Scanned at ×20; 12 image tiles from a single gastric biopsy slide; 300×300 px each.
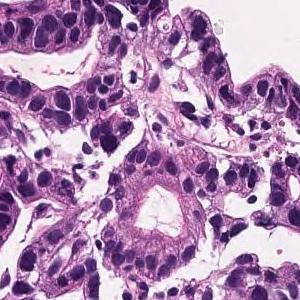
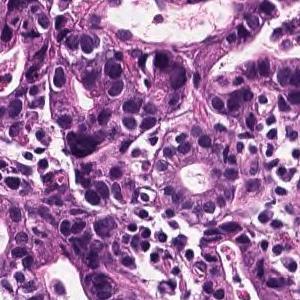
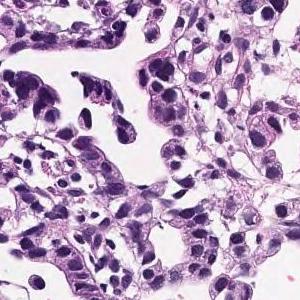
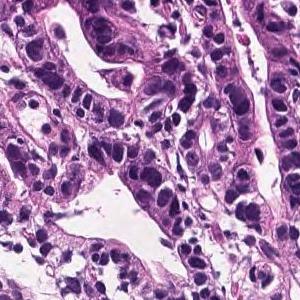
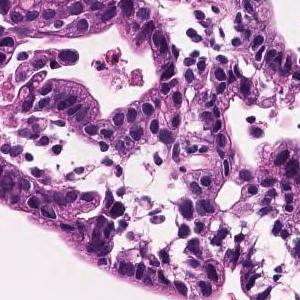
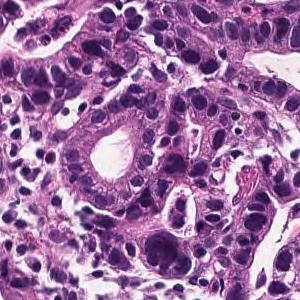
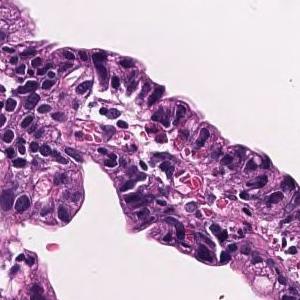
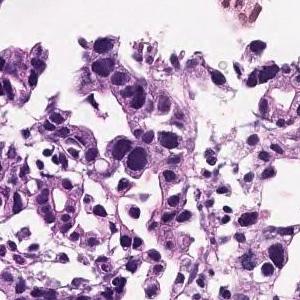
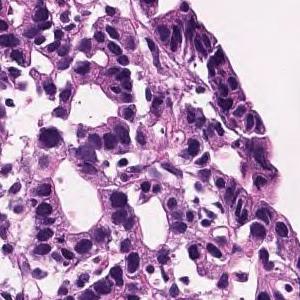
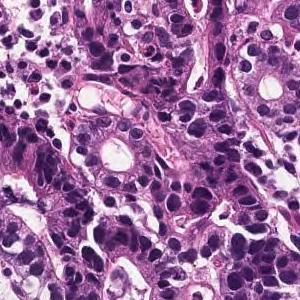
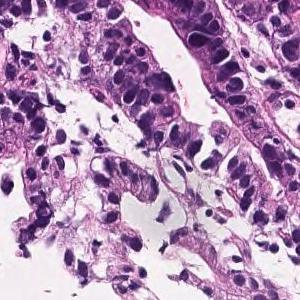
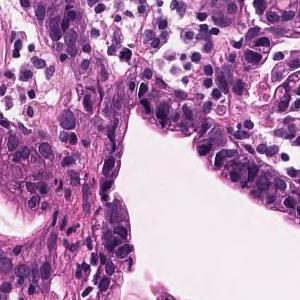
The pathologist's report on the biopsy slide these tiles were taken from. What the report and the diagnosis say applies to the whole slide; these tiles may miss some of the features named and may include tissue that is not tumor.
On the superficial epithelium, tumor tissue consisting of large, irregular glandular ducts partially fused and infiltrated is observed. Well to moderately differentiated tubular adenocarcinoma (well differentiated tubular adenocarcinoma, moderately differentiated tubular adenocarcinoma)
Histological subtype: Well to moderately differentiated tubular adenocarcinoma.
